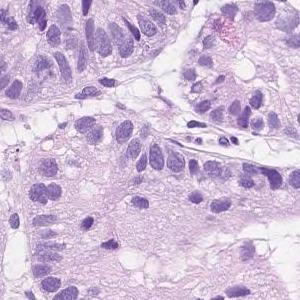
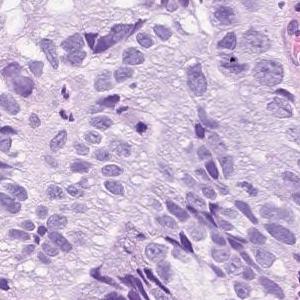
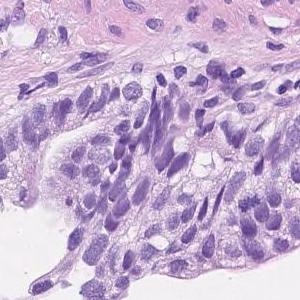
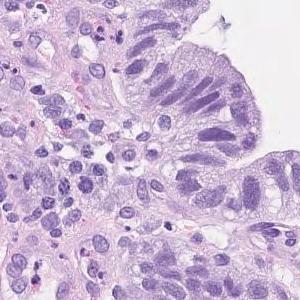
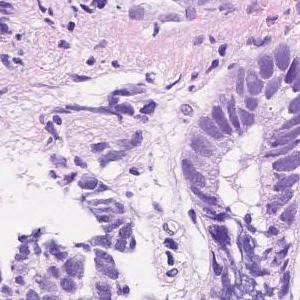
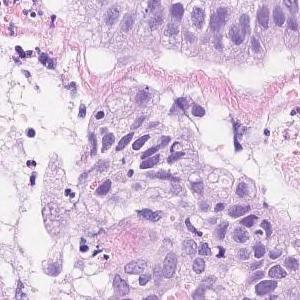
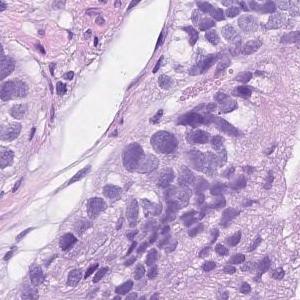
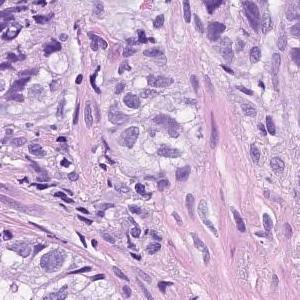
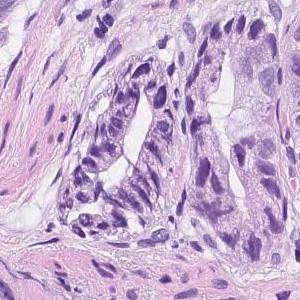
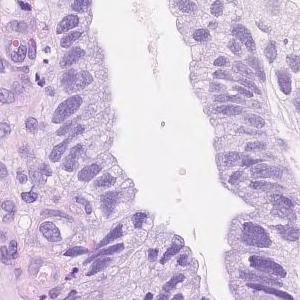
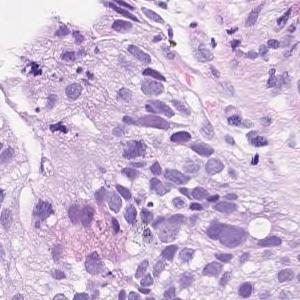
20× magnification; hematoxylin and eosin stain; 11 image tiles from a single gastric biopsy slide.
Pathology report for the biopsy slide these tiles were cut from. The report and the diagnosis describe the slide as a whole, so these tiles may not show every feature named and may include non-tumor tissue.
Atypical l cells with atypical nuclei forming solid or diffuse vesicles or small irregular atypical ducts and growing in a complex manner. moderately differentiated tubular adenocarcinoma
